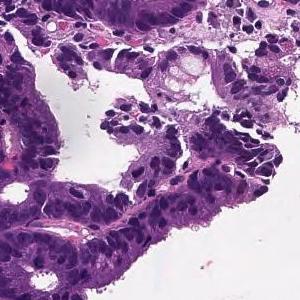
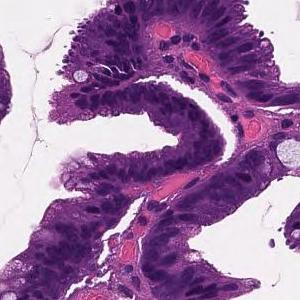
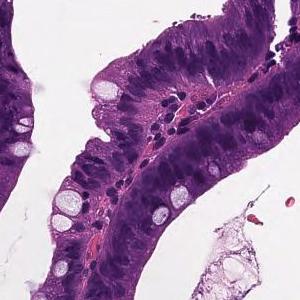
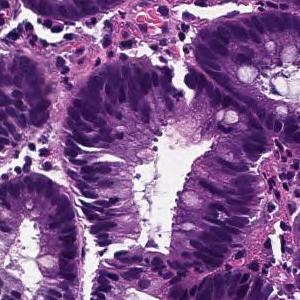
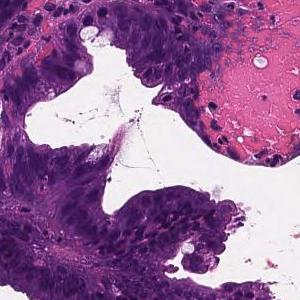
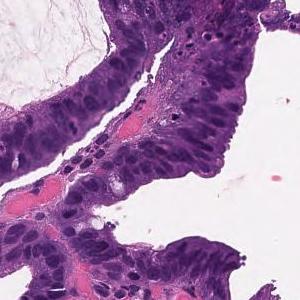
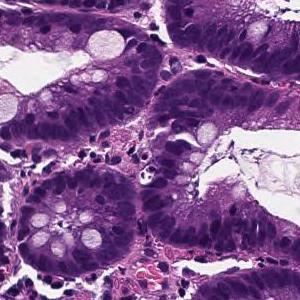
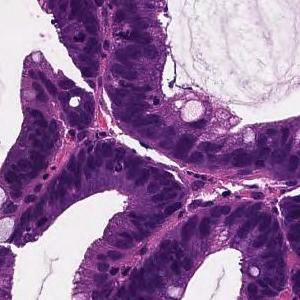
8 patches cut from one gastric biopsy slide · ×20 · H&E stain.
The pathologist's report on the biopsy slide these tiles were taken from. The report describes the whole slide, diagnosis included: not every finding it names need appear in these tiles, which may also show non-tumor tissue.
moderately differentiated tubular adenocarcinoma infiltrates in the submucosa massively.
Tumor subtype: moderately differentiated tubular adenocarcinoma.
